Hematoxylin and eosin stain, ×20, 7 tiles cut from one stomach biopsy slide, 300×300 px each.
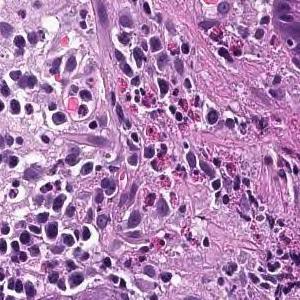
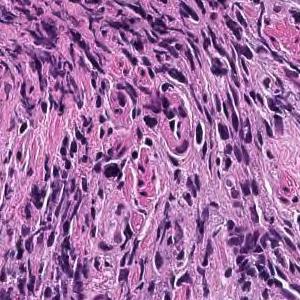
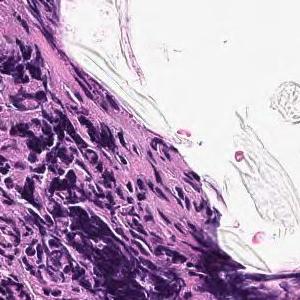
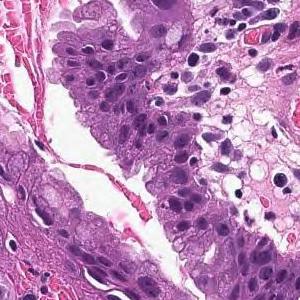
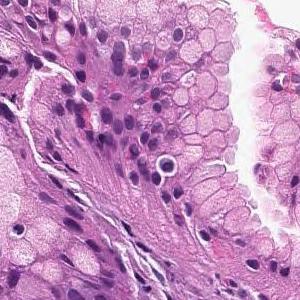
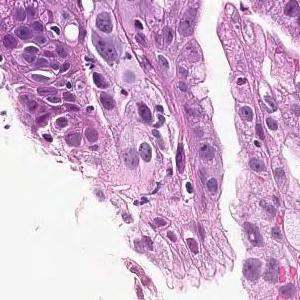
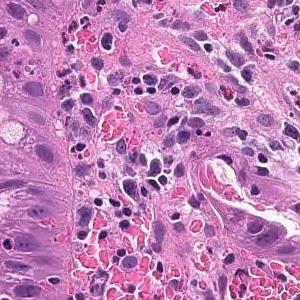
Pathology report for the biopsy slide these tiles were cut from. The report and the diagnosis cover the entire slide, so not every feature they name need be visible here, and some tissue shown may not be tumor.
In the superficial epithelium, tumor tissue that invades by forming medium-sized to small, irregular ducts is observed. moderately differentiated tubular adenocarcinoma.
